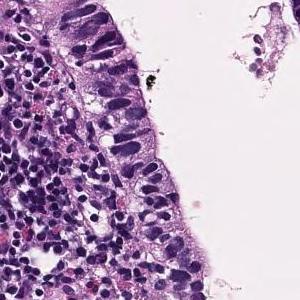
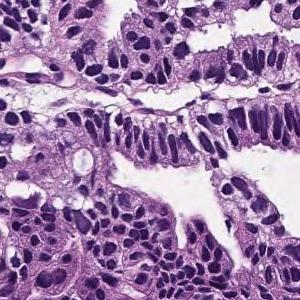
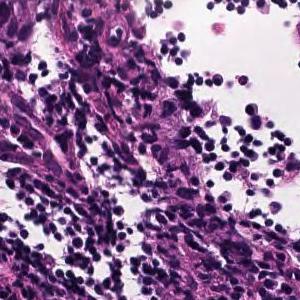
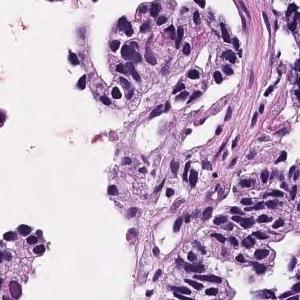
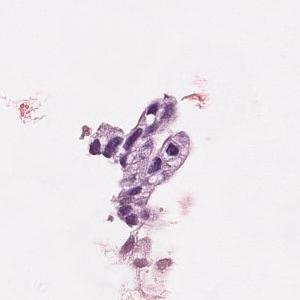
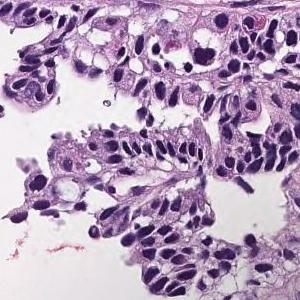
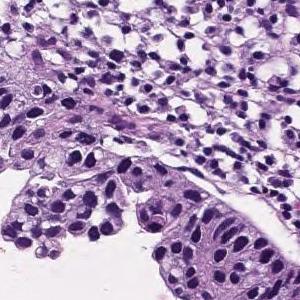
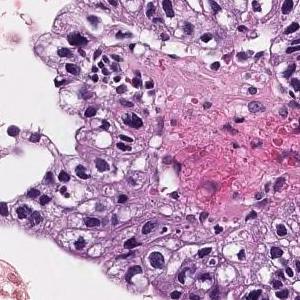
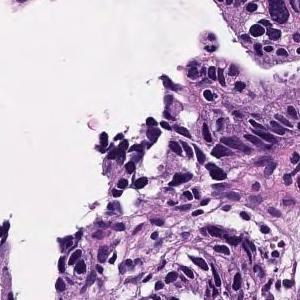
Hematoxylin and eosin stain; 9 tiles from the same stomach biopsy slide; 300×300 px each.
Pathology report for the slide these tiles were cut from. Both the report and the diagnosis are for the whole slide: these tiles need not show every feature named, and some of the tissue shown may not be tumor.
Tumor cells are large, highly columnar, large club-shaped nuclei, and are associated with chromatin aggregation. Papillary adenocarcinoma.
